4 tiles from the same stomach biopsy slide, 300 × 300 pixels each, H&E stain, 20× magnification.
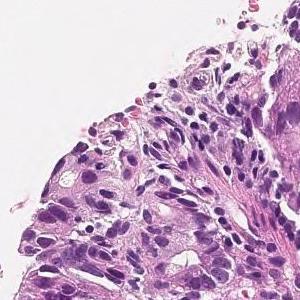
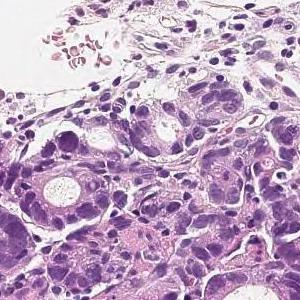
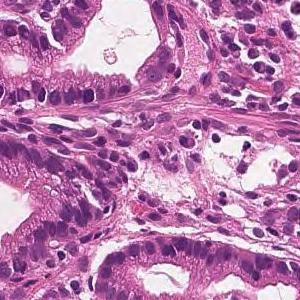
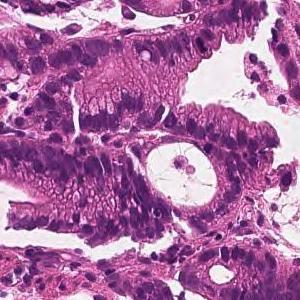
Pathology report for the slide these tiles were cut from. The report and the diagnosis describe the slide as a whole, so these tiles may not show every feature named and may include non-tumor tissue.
On the superficial epithelium, tumor tissue is found in which medium-sized irregular gland ducts fuse with each other and infiltrate. moderately differentiated tubular adenocarcinoma
